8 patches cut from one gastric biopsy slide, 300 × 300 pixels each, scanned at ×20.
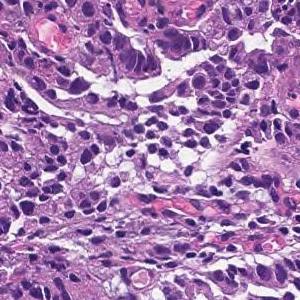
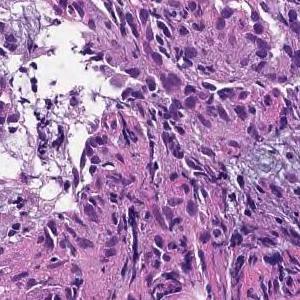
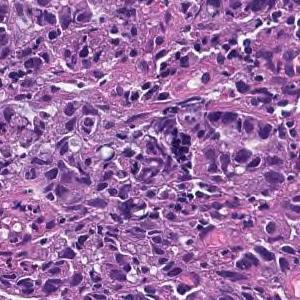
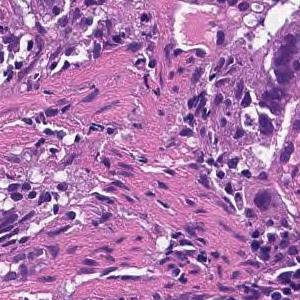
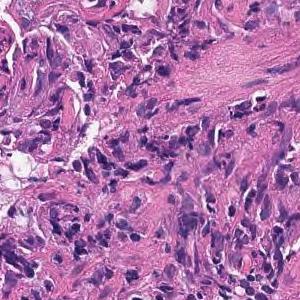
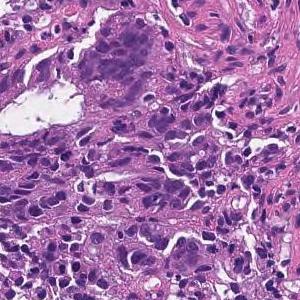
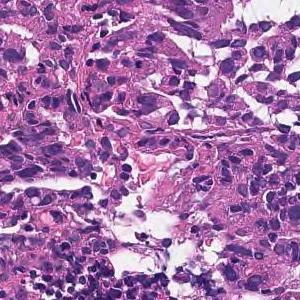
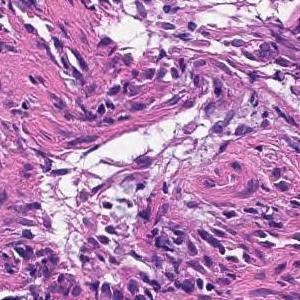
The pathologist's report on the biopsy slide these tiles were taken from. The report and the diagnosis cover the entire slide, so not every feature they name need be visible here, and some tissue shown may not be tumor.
On the superficial epithelium, tumor tissue consisting of large, irregular glandular ducts partially fused and infiltrated is observed. Well to moderately differentiated tubular adenocarcinoma (well differentiated tubular adenocarcinoma, moderately differentiated tubular adenocarcinoma)
Histologic type: Well to moderately differentiated tubular adenocarcinoma.
